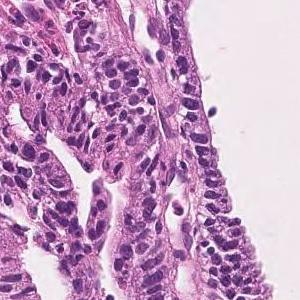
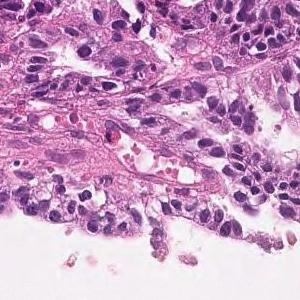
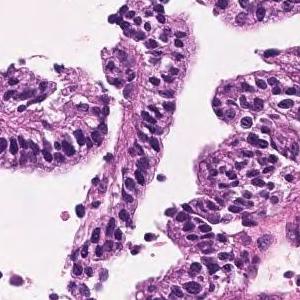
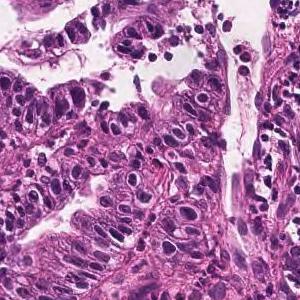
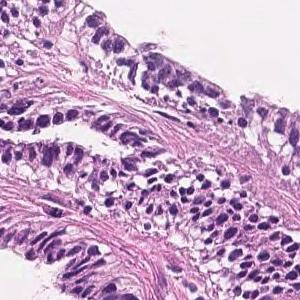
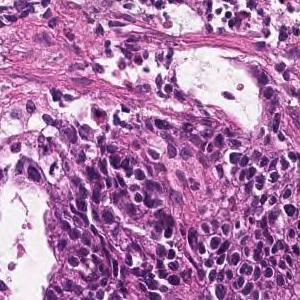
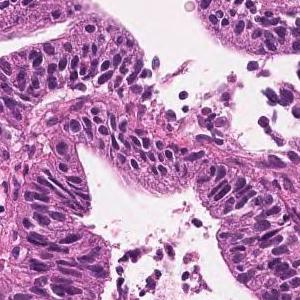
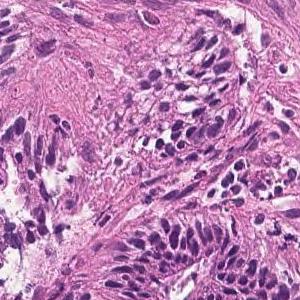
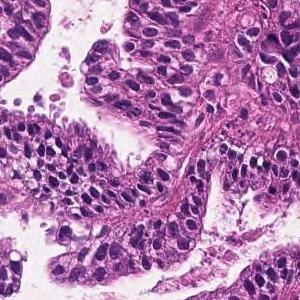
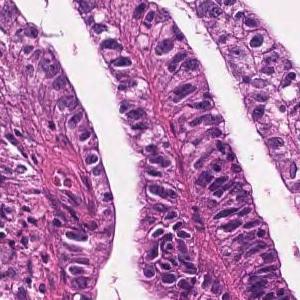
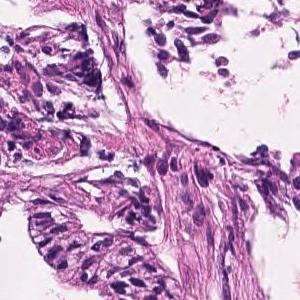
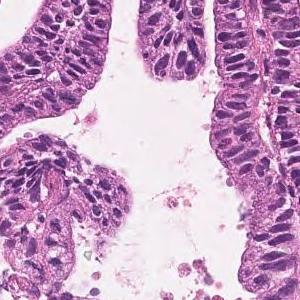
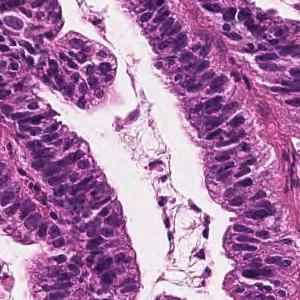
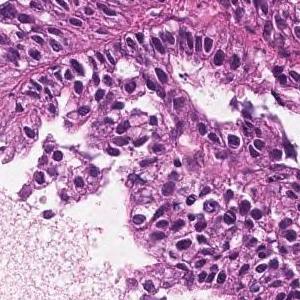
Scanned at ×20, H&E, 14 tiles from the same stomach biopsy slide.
The pathologist's report on the biopsy slide these tiles were taken from. The findings and the diagnosis refer to the entire slide; these tiles show only part of it, possibly with non-tumor tissue, and may not show every feature named.
Tumor cells are large, highly columnar, large club-shaped nuclei, and are associated with chromatin aggregation. Papillary adenocarcinoma.
